10 patches cut from one gastric biopsy slide · H&E stain · scanned at ×20.
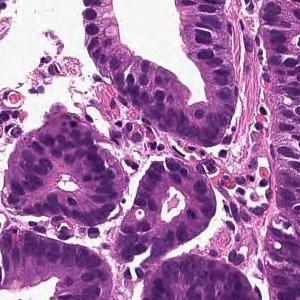
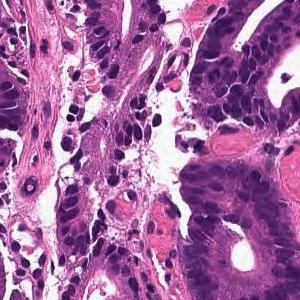
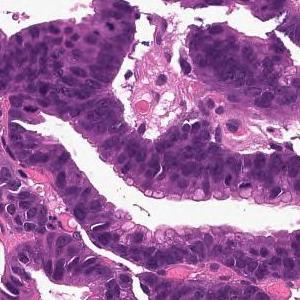
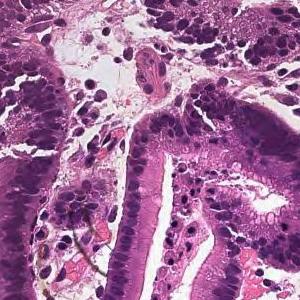
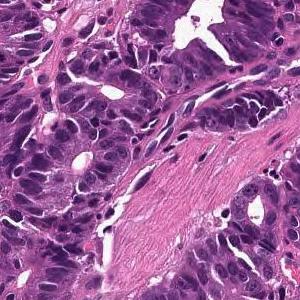
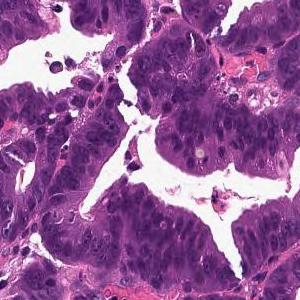
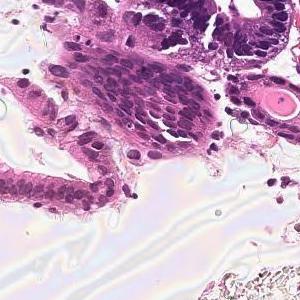
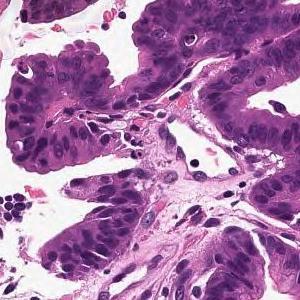
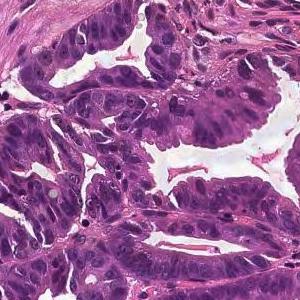
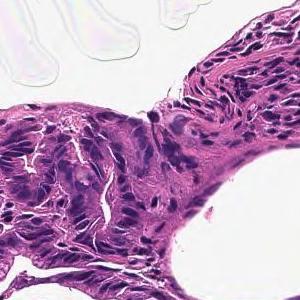
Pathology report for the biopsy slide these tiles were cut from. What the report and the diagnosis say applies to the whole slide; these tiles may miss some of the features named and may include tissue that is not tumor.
From the superficial epithelium to the muscularis mucosae, tumor tissue consisting of medium-sized and irregular glandular ducts infiltrating is observed. Well differentiated tubular adenocarcinoma
